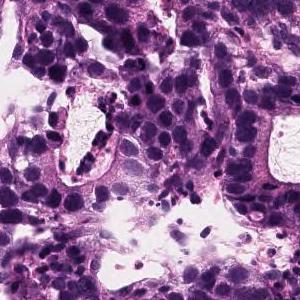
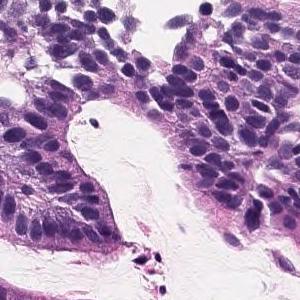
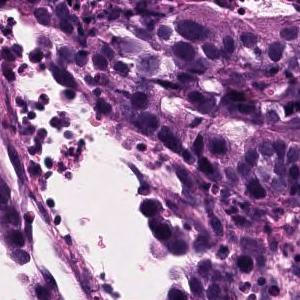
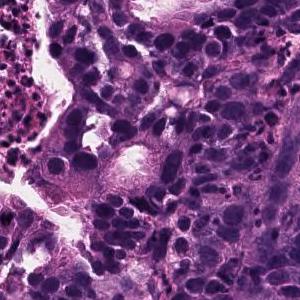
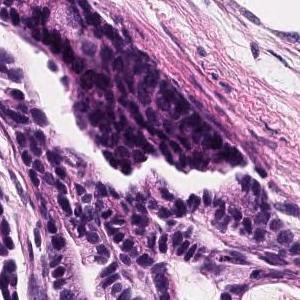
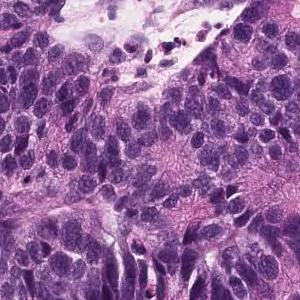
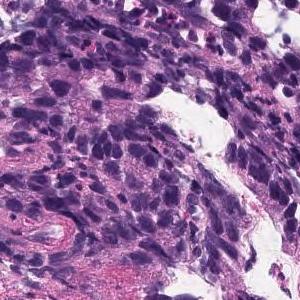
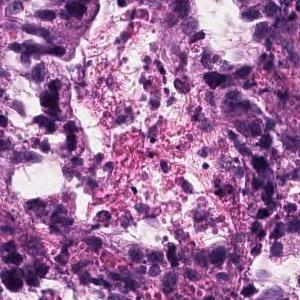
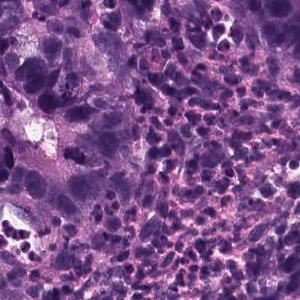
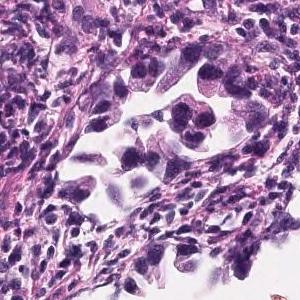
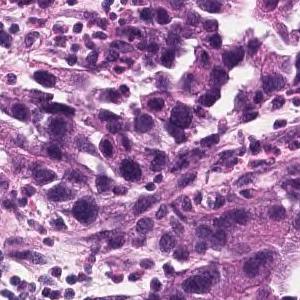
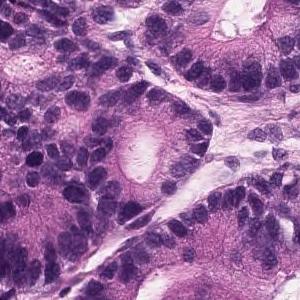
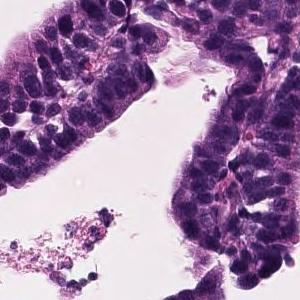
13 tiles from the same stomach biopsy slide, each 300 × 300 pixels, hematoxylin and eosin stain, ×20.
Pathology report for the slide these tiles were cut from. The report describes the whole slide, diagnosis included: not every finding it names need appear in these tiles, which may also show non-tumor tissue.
In the superficial epithelium, tumor tissue that invades by forming medium-sized to small, irregular ducts is observed. moderately differentiated tubular adenocarcinoma.
